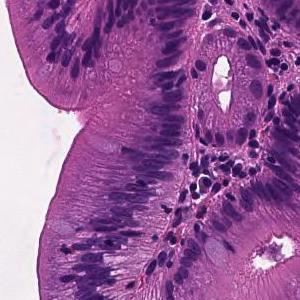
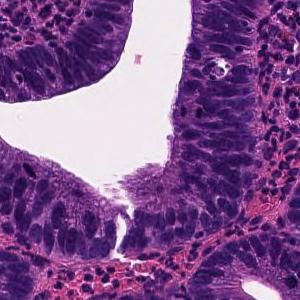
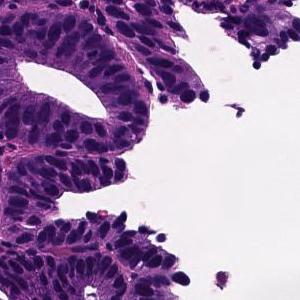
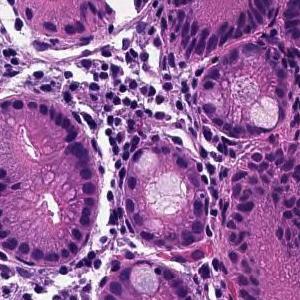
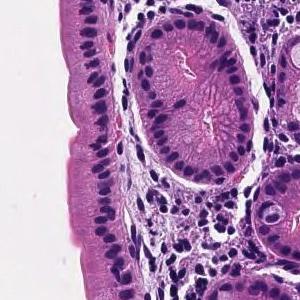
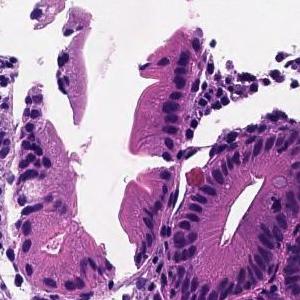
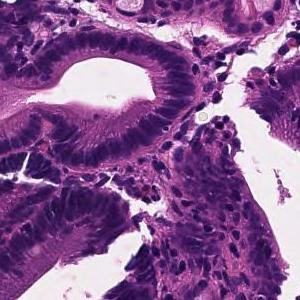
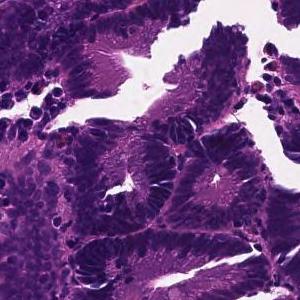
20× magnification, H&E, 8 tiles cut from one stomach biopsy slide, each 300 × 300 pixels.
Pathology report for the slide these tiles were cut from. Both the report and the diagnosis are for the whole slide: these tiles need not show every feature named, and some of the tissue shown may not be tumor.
Tumor tissue in which medium to small irregular ducts infiltrate and proliferate in the submucosa can be seen in the epithelium. Well differentiated tubular adenocarcinoma
